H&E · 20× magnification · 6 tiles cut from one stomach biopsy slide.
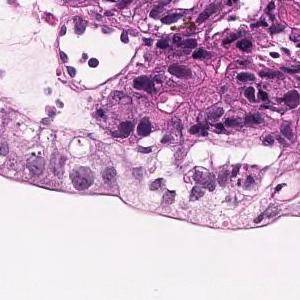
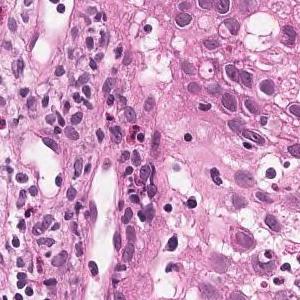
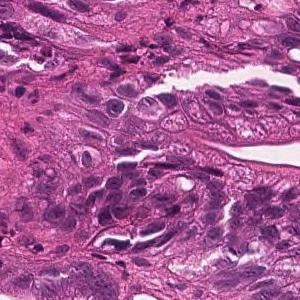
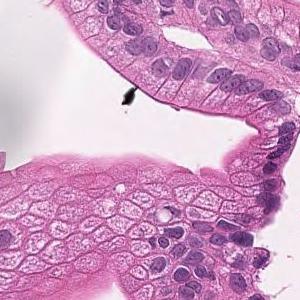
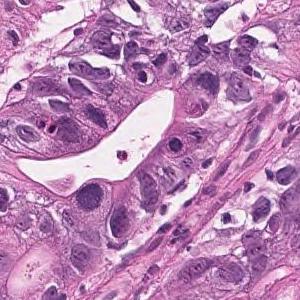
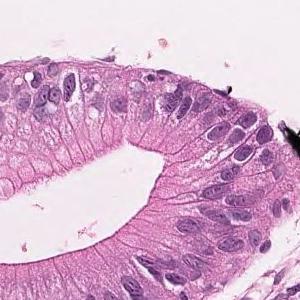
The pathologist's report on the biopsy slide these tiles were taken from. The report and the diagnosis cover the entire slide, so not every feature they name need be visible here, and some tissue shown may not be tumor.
On the superficial epithelium, tumor tissue that infiltrates by forming medium-sized papillary or small irregular ducts is observed. Papillary adenocarcinoma
